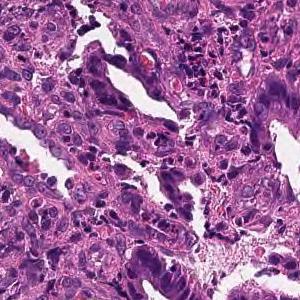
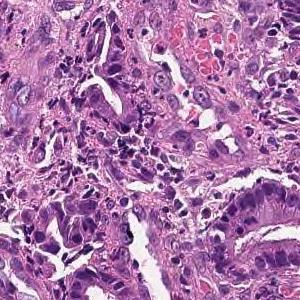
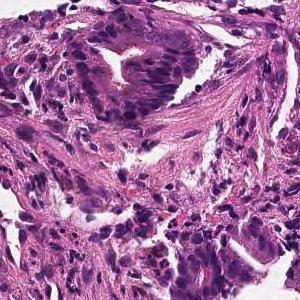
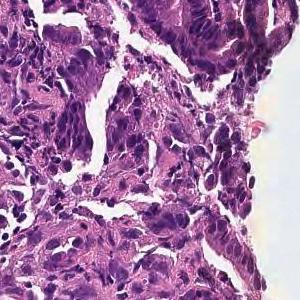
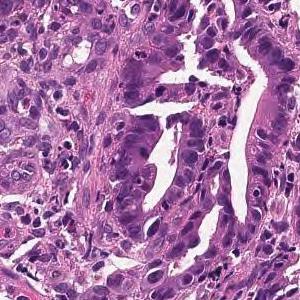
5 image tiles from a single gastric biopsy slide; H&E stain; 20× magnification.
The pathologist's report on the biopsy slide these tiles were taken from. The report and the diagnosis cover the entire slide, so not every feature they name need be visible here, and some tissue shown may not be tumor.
From the superficial epithelium to the muscularis mucosae, tumor tissue consisting of medium-sized and irregular glandular ducts infiltrating is observed. Well differentiated tubular adenocarcinoma
